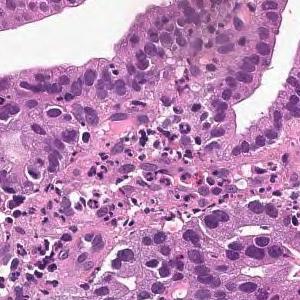
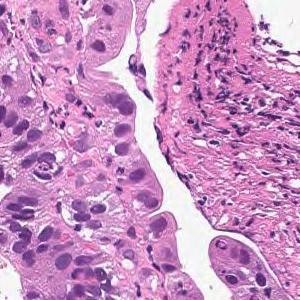
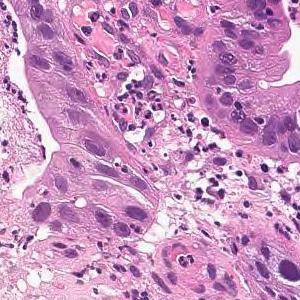
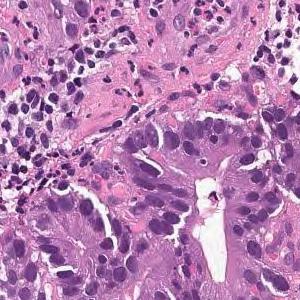
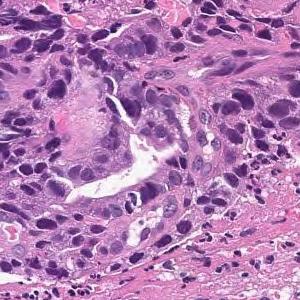
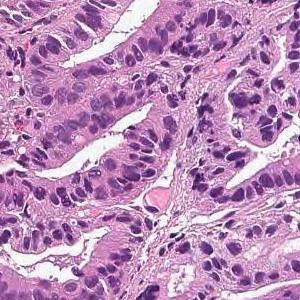
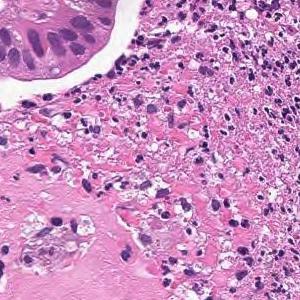
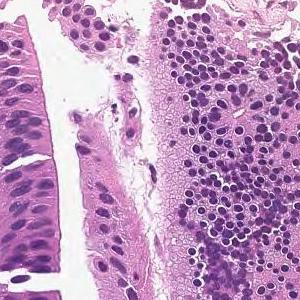
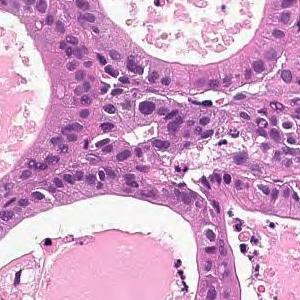
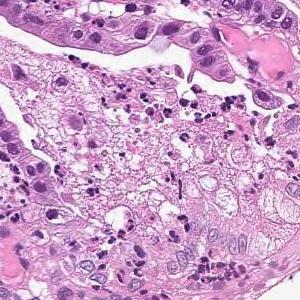
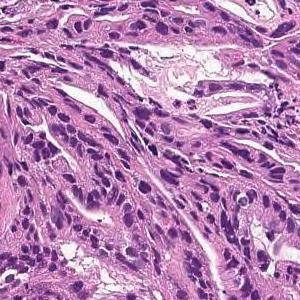
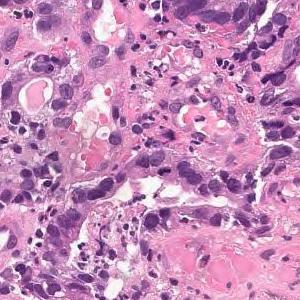
Scanned at ×20; hematoxylin and eosin stain; 12 image tiles from a single gastric biopsy slide; each 300 × 300 pixels.
Report on the slide these tiles come from. The report and the diagnosis cover the entire slide, so not every feature they name need be visible here, and some tissue shown may not be tumor.
From the superficial epithelium to the muscularis mucosae, tumor tissue consisting of medium-sized and irregular glandular ducts infiltrating is observed. Well differentiated tubular adenocarcinoma
